H&E · scanned at ×20 · 9 image tiles from a single gastric biopsy slide.
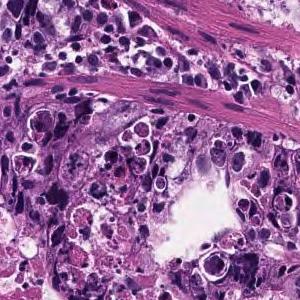
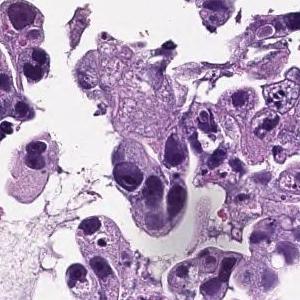
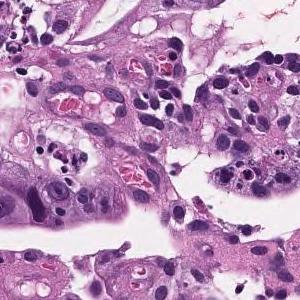
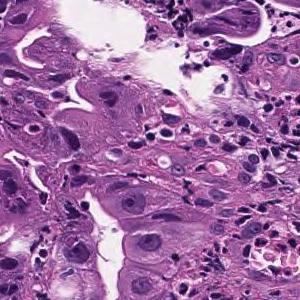
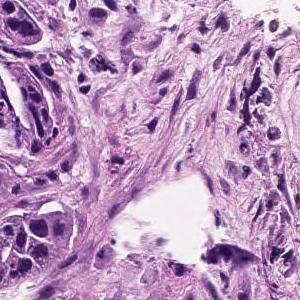
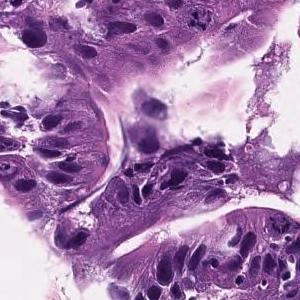
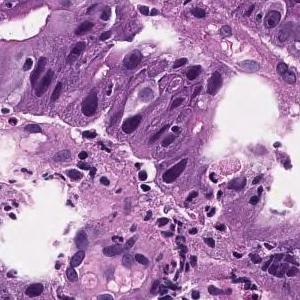
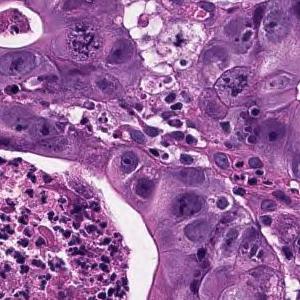
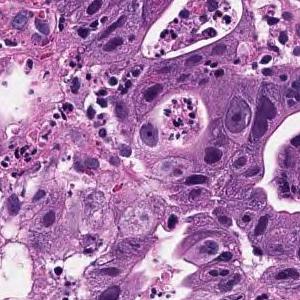
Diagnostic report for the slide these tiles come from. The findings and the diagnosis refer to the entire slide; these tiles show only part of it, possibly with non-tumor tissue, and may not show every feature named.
In the superficial epithelium, medium to small irregular gland ducts are formed, and in some cases, the ducts are fused to show solid alveolar lesions and infiltrating tumor tissue is observed. Moderately to poorly differentiated adenocarcinoma
